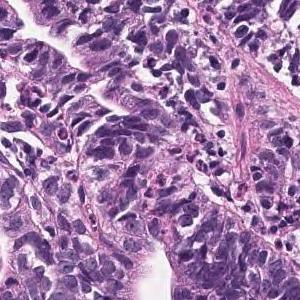
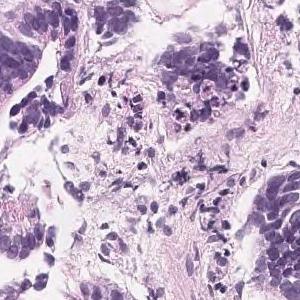
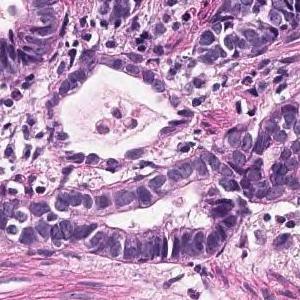
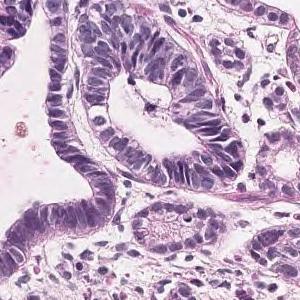
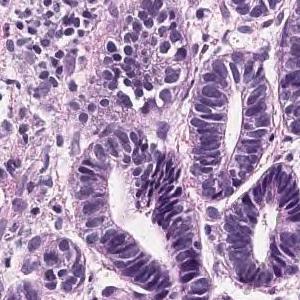
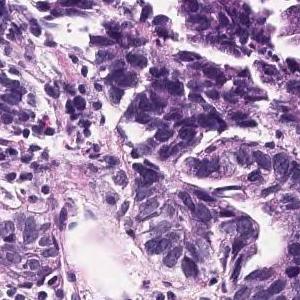
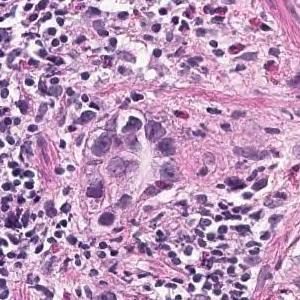
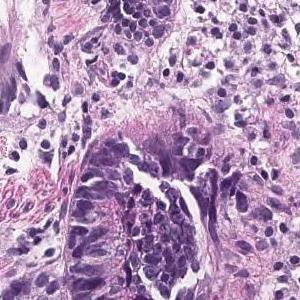
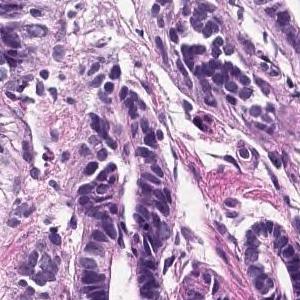
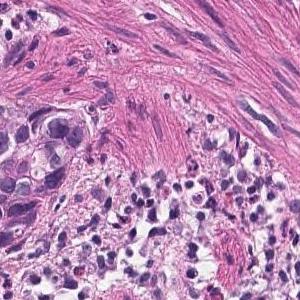
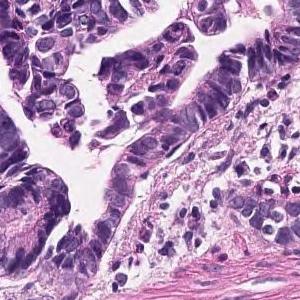
11 image tiles from a single gastric biopsy slide · scanned at ×20.
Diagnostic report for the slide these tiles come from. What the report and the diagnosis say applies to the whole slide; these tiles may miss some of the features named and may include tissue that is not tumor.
In the superficial epithelium, tumor tissue that invades by forming medium-sized to small, irregular ducts is observed. Well differentiated tubular adenocarcinoma.
